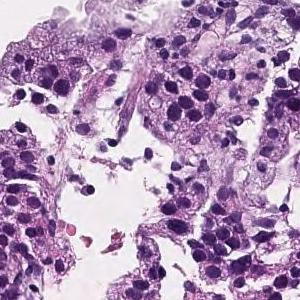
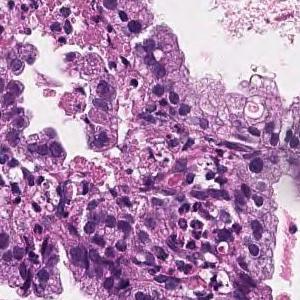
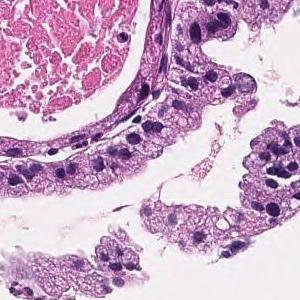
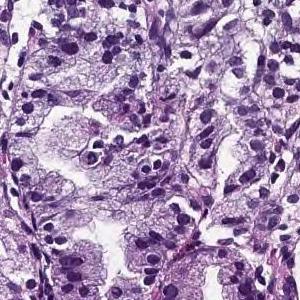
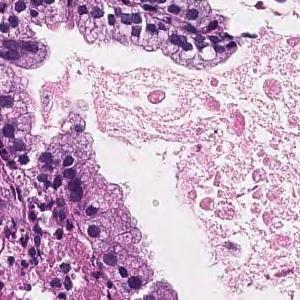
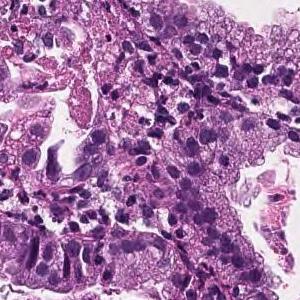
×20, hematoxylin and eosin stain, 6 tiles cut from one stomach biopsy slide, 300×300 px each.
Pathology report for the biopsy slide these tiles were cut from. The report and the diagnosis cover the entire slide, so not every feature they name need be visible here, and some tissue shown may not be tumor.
In the superficial epithelium, tumor tissue that infiltrates by forming medium-sized papillary or small irregular ducts is observed. Papillary adenocarcinoma
